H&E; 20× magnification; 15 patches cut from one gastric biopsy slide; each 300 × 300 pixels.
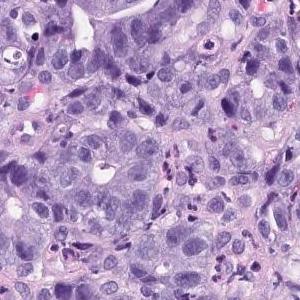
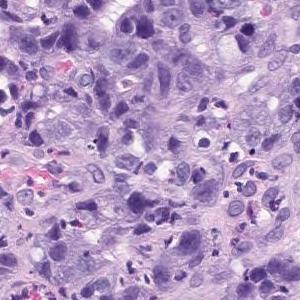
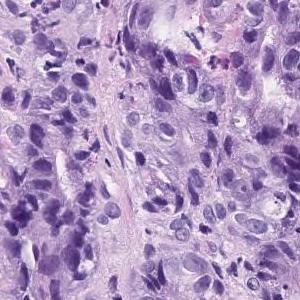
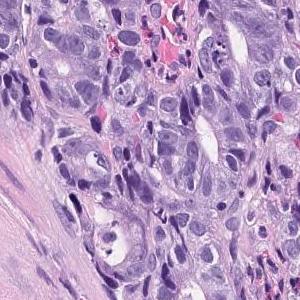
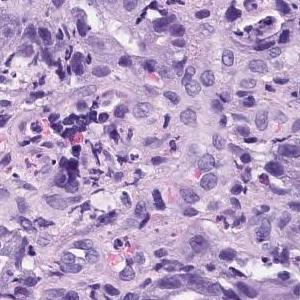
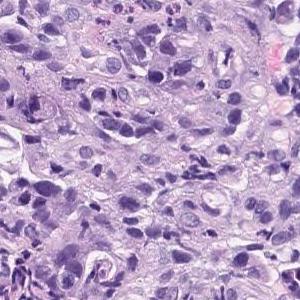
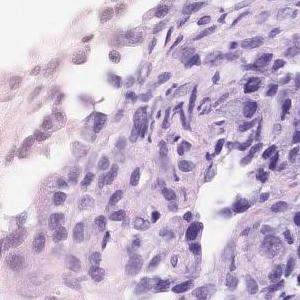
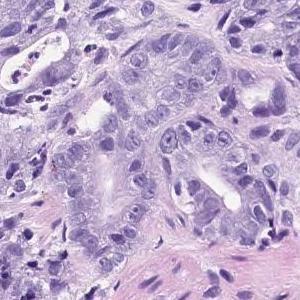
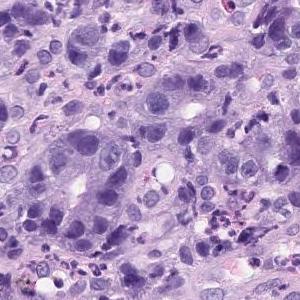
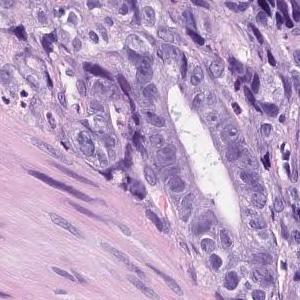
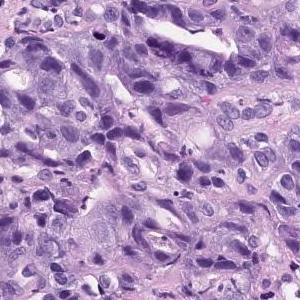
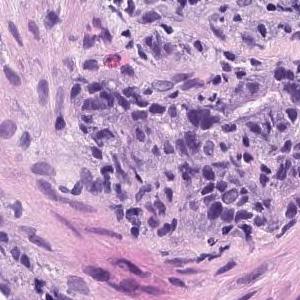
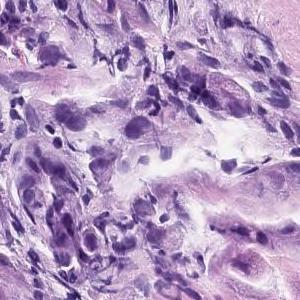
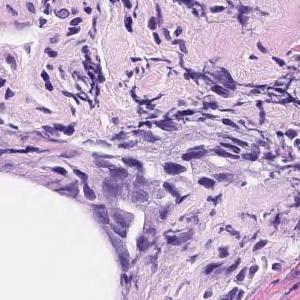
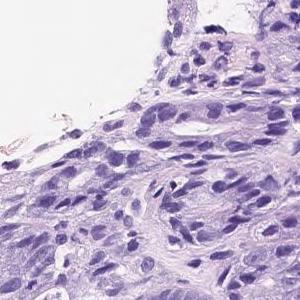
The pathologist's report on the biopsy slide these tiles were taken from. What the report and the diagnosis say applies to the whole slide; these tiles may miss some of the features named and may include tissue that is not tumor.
In the superficial epithelium, tumor tissue that invades by forming medium-sized to small, irregular ducts is observed. Moderately differentiated adenocarcinoma.
Histologic type: Moderately differentiated tubular adenocarcinoma.
